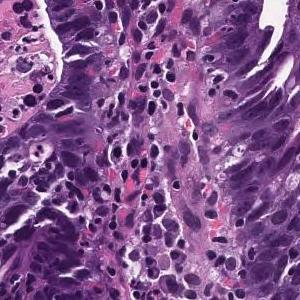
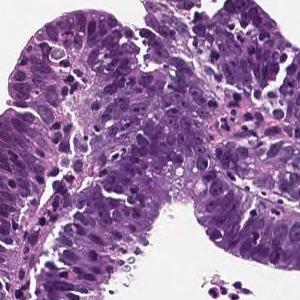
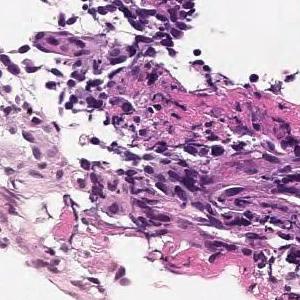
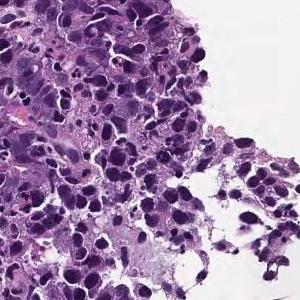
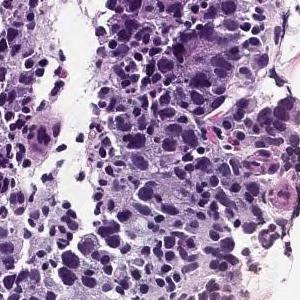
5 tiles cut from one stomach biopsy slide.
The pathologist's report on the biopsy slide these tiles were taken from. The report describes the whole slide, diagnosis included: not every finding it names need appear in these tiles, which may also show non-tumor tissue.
On the superficial epithelium, tumor tissue is found in which medium-sized irregular gland ducts fuse with each other and infiltrate. moderately differentiated tubular adenocarcinoma
